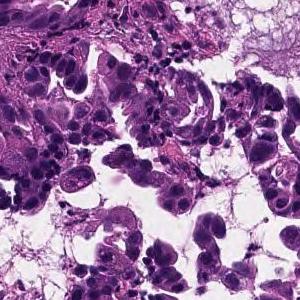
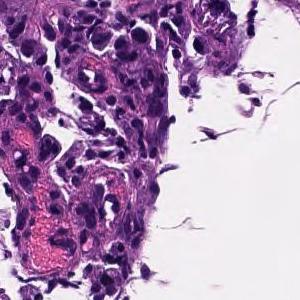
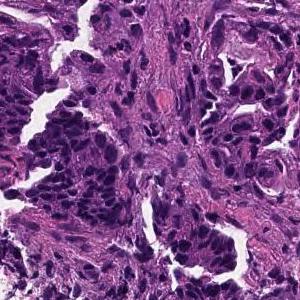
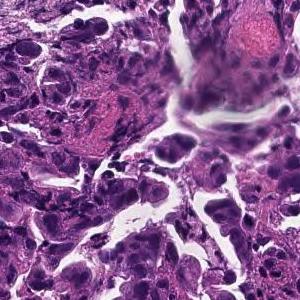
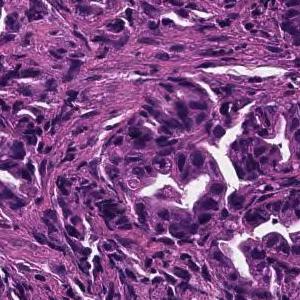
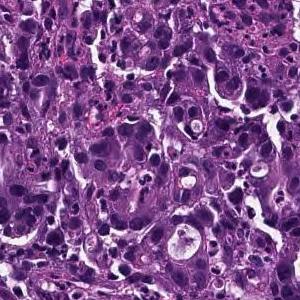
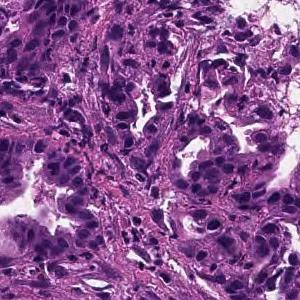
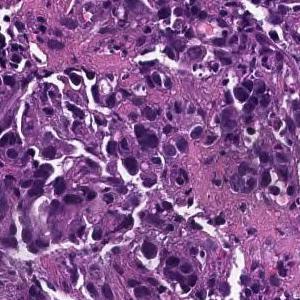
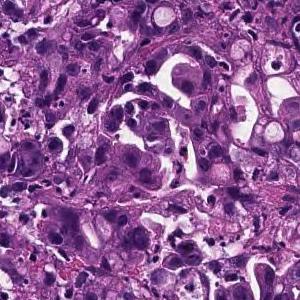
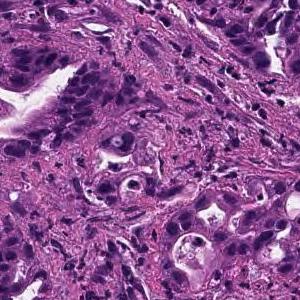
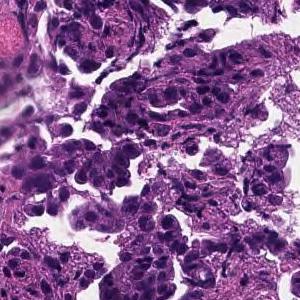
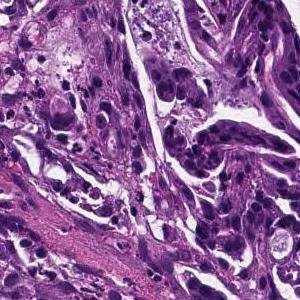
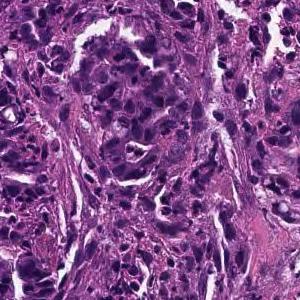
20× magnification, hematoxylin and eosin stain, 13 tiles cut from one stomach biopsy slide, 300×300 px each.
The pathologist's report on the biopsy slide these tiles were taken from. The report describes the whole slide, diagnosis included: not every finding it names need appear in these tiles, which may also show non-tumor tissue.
Tumor tissue consisting of medium-sized, cord-like or irregular glandular infiltration is observed in the superficial epithelium. Poorly differentiated adenocarcinoma, non-solid type or moderately differentiated tubular adenocarcinoma
Histologic type: Moderately to poorly differentiated adenocarcinoma.
"Non-solid type" is a category of the Japanese Classification of Gastric Carcinoma.
